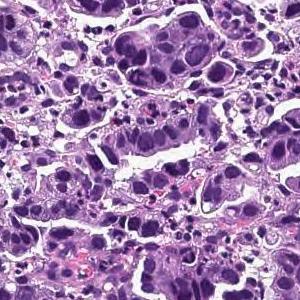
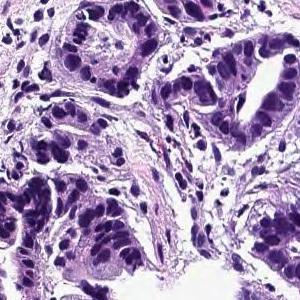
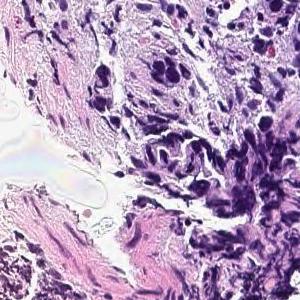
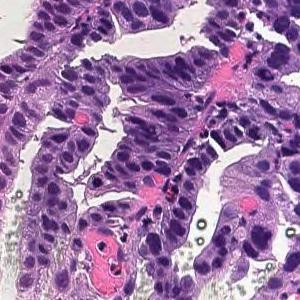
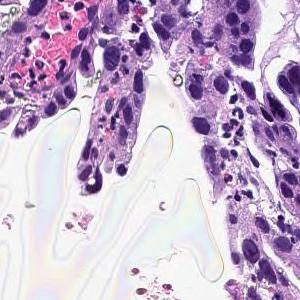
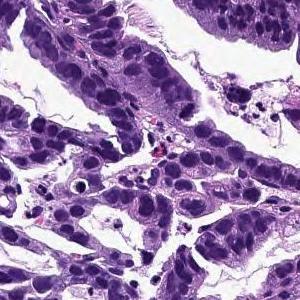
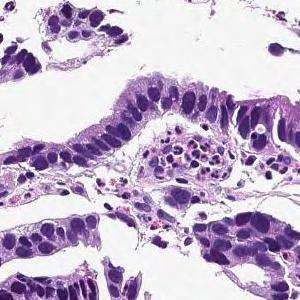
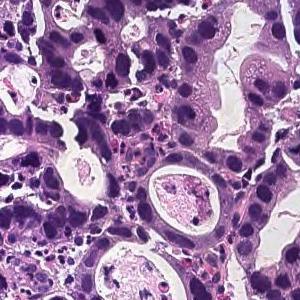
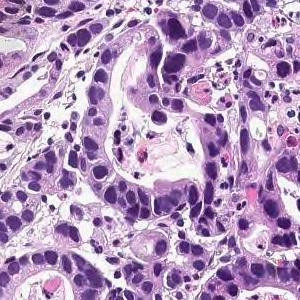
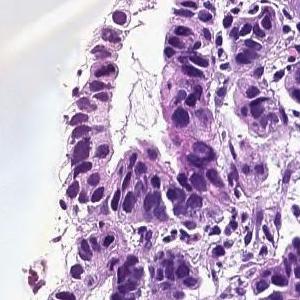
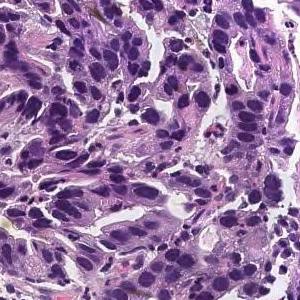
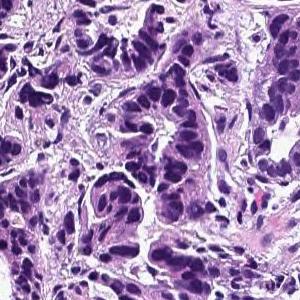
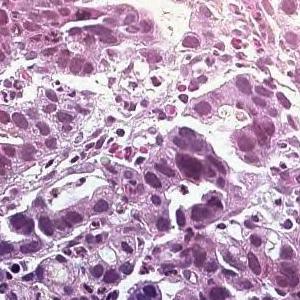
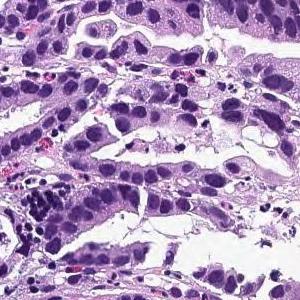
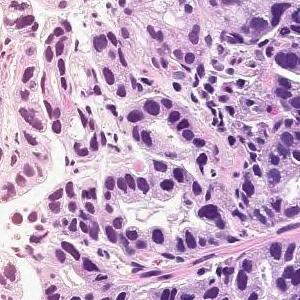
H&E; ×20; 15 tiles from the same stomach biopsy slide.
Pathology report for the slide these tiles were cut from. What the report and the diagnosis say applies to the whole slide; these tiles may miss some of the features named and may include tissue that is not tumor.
On the superficial epithelium, tumor tissue consisting of large irregular glandular ducts partially fused and infiltrated is observed. Well to moderately differentiated tubular adenocarcinoma (well differentiated tubular adenocarcinoma, moderately differentiated tubular adenocarcinoma)
Classified as well to moderately differentiated tubular adenocarcinoma.
